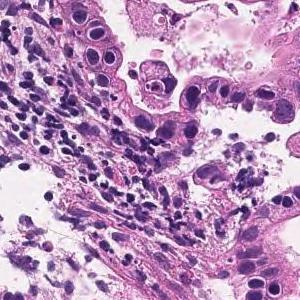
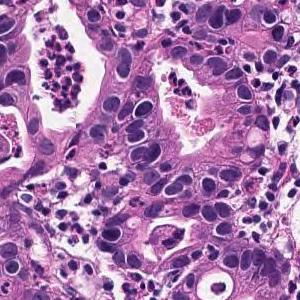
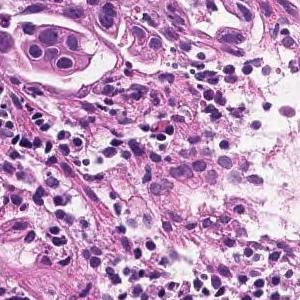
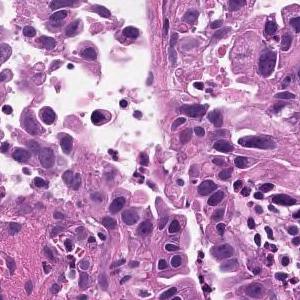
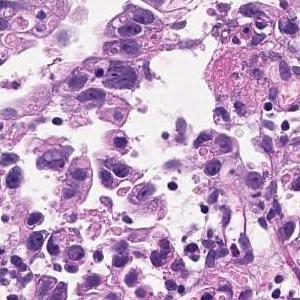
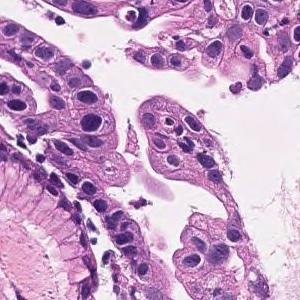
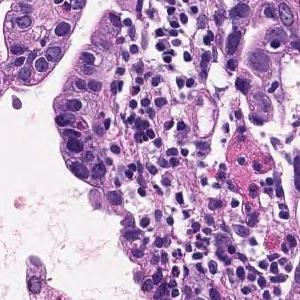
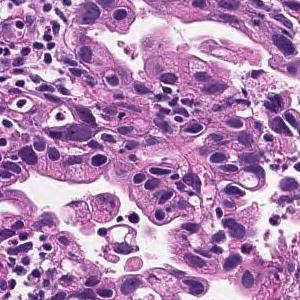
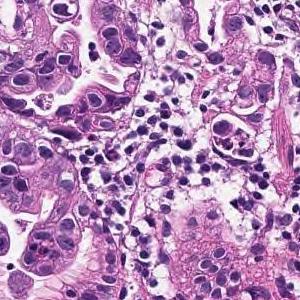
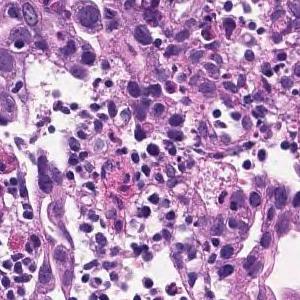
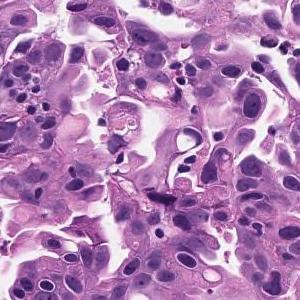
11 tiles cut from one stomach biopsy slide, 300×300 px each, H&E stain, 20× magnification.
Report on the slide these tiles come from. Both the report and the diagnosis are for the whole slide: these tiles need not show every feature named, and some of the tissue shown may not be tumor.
In the superficial epithelium, tumor tissue that invades by forming medium-sized to small, irregular ducts is observed. moderately differentiated tubular adenocarcinoma.
